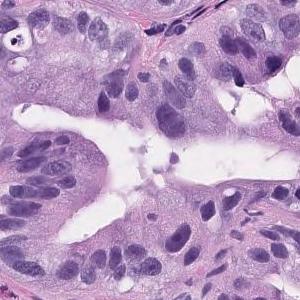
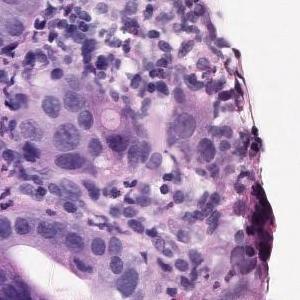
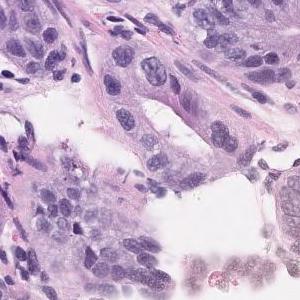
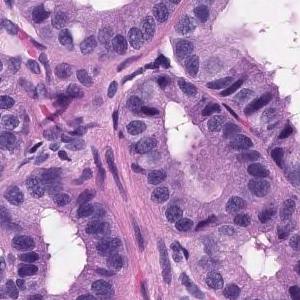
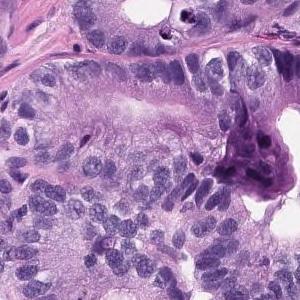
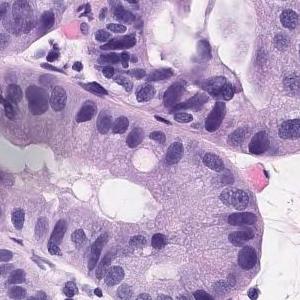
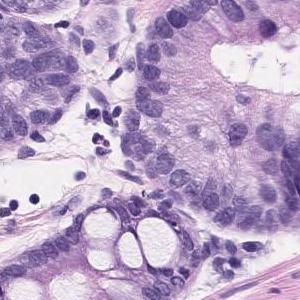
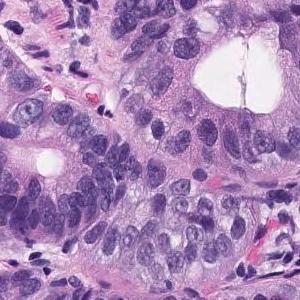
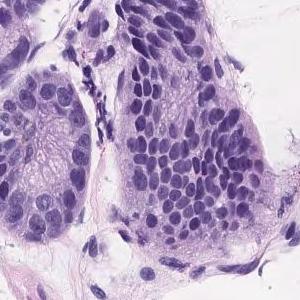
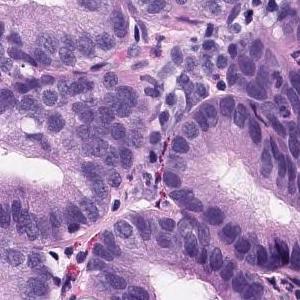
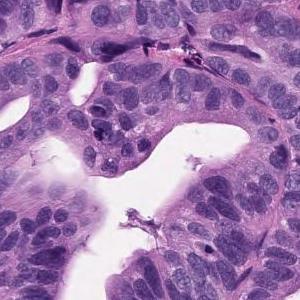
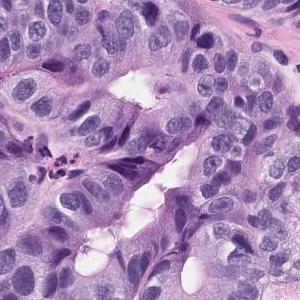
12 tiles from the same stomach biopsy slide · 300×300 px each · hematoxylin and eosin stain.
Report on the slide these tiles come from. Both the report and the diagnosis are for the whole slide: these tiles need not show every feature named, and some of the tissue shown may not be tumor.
Tumor tissue consisting of medium-sized and irregular ducts is observed infiltrating in the superficial epithelium. Tumor cells are highly columnar, with nuclei aligned basolaterally and polarized. Well differentiated tubular adenocarcinoma.
